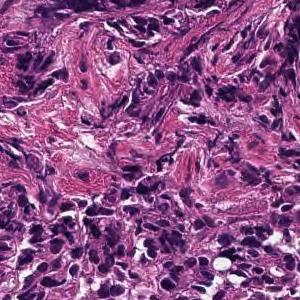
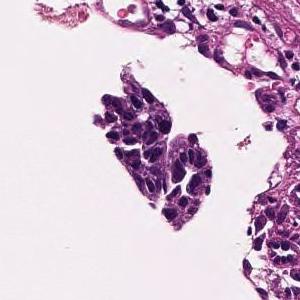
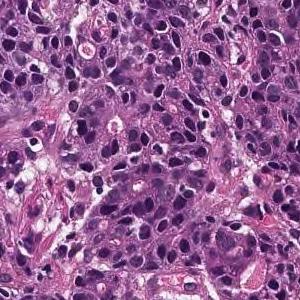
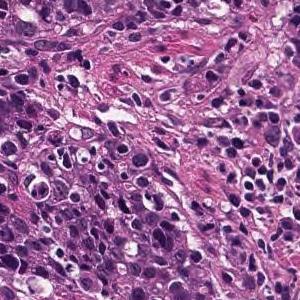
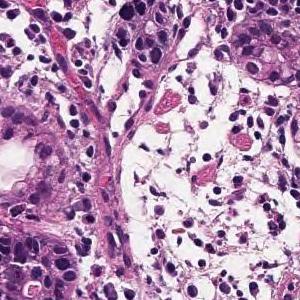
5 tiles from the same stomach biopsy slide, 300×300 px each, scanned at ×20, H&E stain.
Pathology report for the slide these tiles were cut from. The findings and the diagnosis refer to the entire slide; these tiles show only part of it, possibly with non-tumor tissue, and may not show every feature named.
Medium to small, irregular glandular ducts are formed in the superficial epithelium, and in some cases, the glandular ducts are fused to show solid alveolar lesions and infiltrating tumor tissue is observed. Moderately to poorly differentiated adenocarcinoma.
